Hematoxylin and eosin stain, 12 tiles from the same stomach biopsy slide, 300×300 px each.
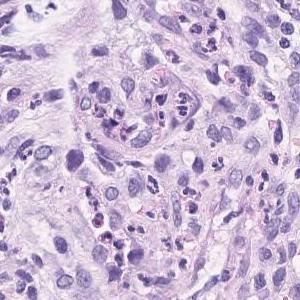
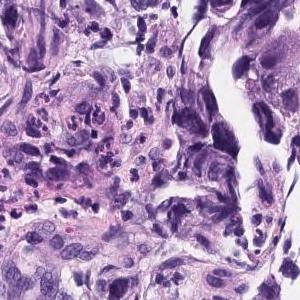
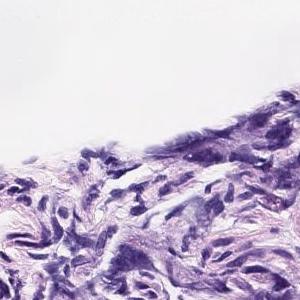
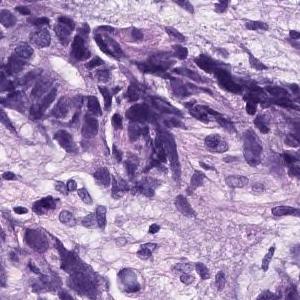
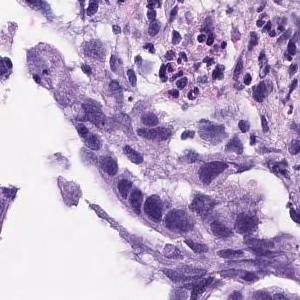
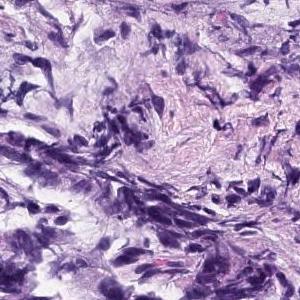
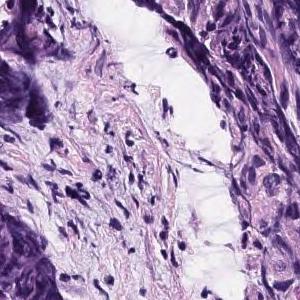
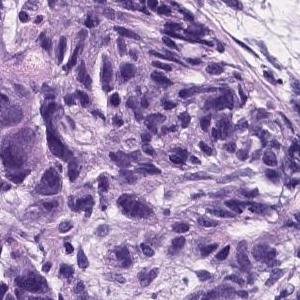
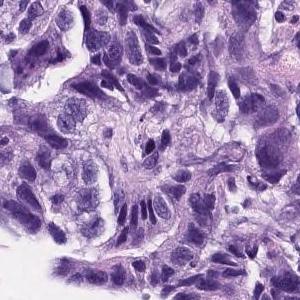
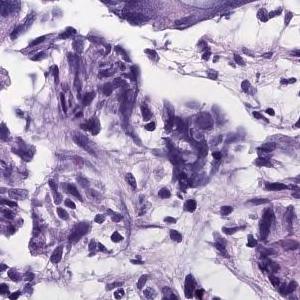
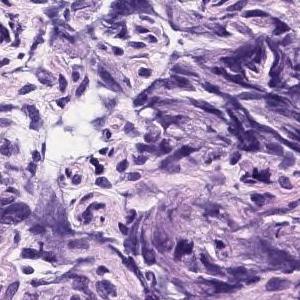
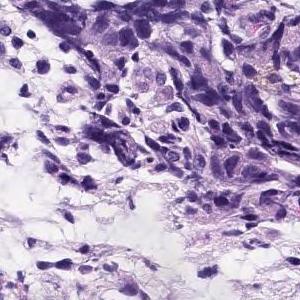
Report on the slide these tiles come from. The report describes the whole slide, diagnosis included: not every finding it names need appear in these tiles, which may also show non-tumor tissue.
Atypical epithelial cells with an increased N/C ratio proliferate and consist of a part that shows the formation of gland ducts and a part that shows solid growth. Poorly differentiated adenocarcinoma, solid-type
Tumor subtype: poorly differentiated adenocarcinoma, solid type, a category of the Japanese Classification of Gastric Carcinoma; in the WHO 2019 classification it is tubular adenocarcinoma, poorly differentiated.
